14 tiles from the same stomach biopsy slide · each 300 × 300 pixels · ×20 · hematoxylin and eosin stain.
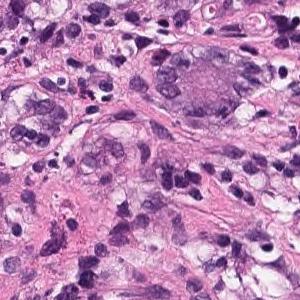
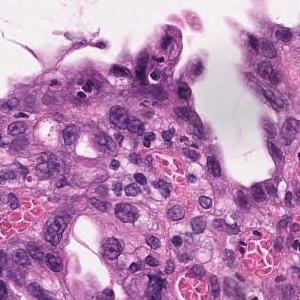
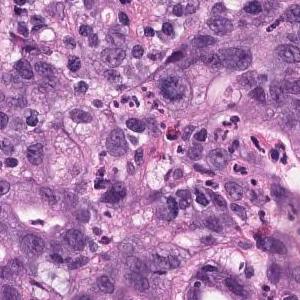
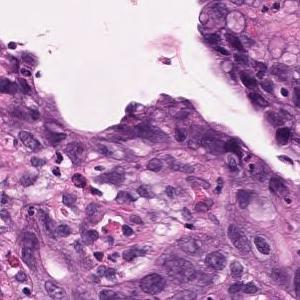
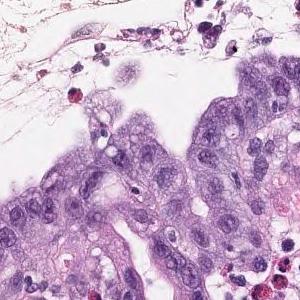
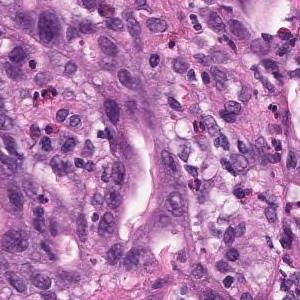
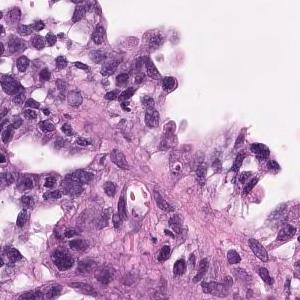
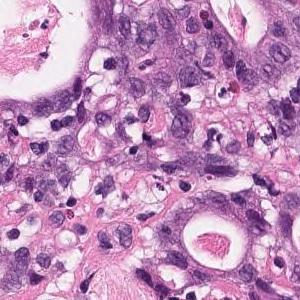
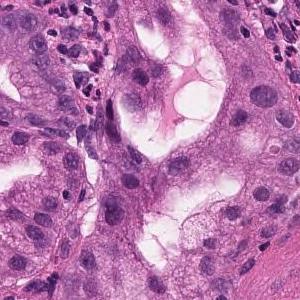
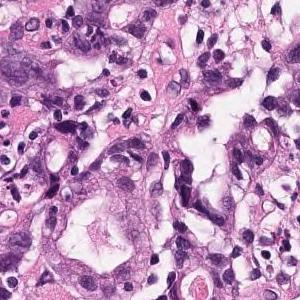
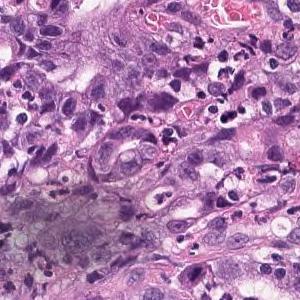
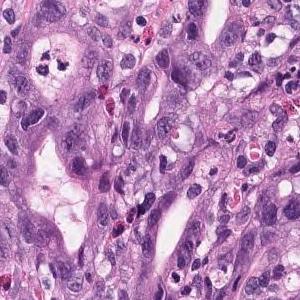
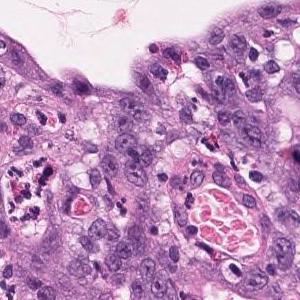
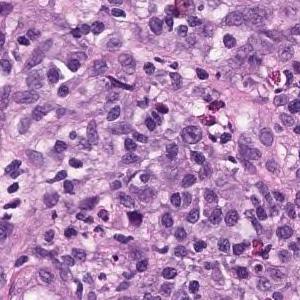
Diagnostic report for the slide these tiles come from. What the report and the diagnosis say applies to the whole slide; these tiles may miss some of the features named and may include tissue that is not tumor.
Atypical ducts proliferating with obscure duct construction and solid sequences is observed. Moderately to poorly differentiated adenocarcinoma.
